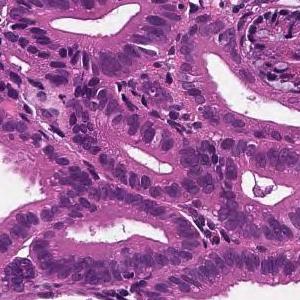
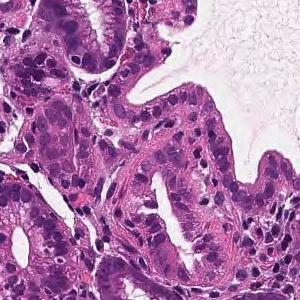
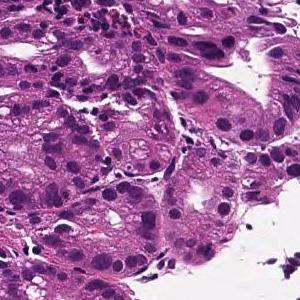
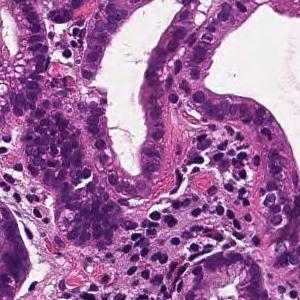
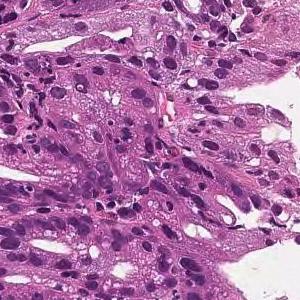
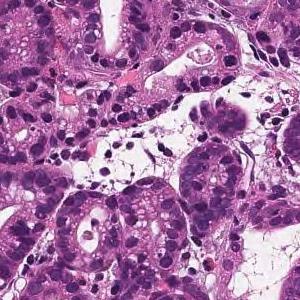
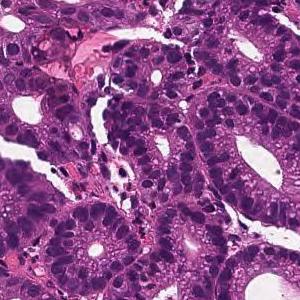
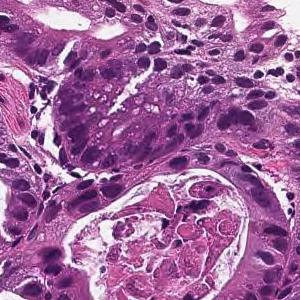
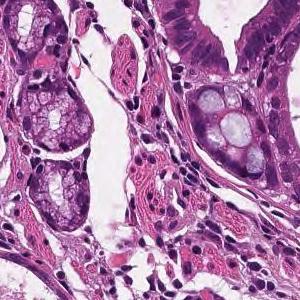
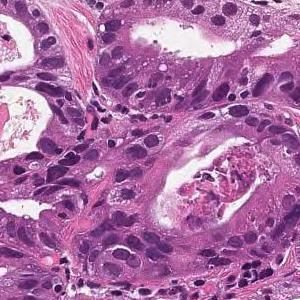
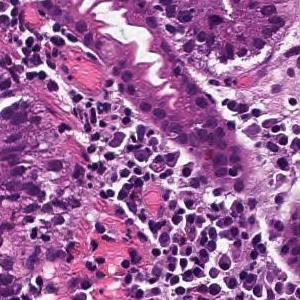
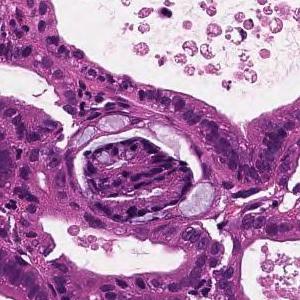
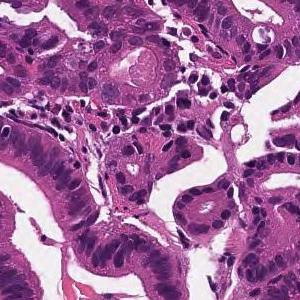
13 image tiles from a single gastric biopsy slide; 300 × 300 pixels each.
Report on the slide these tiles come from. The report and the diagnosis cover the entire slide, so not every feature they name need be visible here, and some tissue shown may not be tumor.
In the superficial epithelium, tumor tissue that invades by forming medium-sized to small, irregular ducts is observed. moderately differentiated tubular adenocarcinoma.
